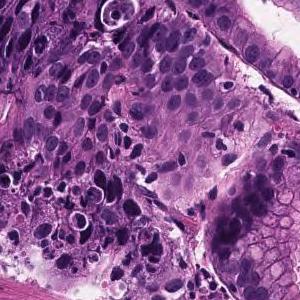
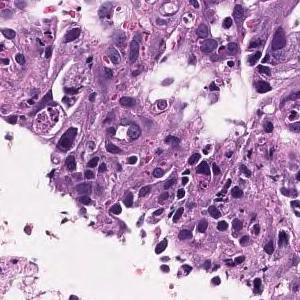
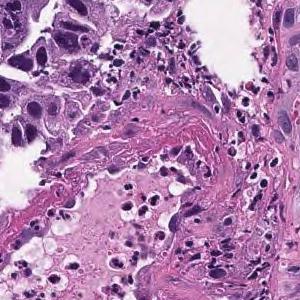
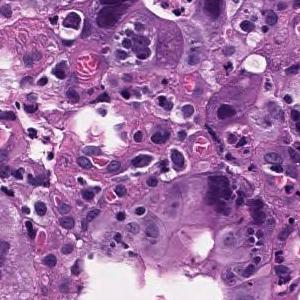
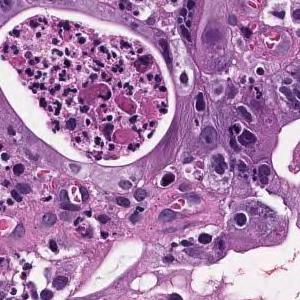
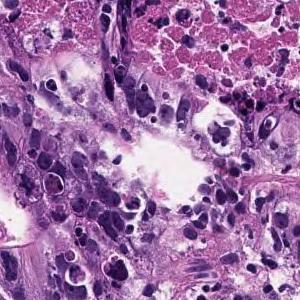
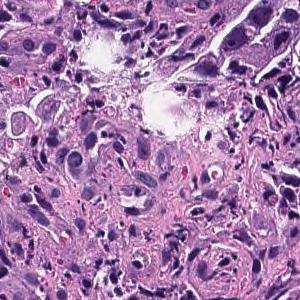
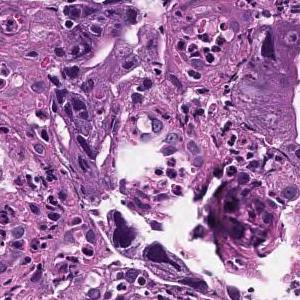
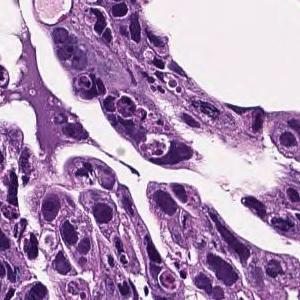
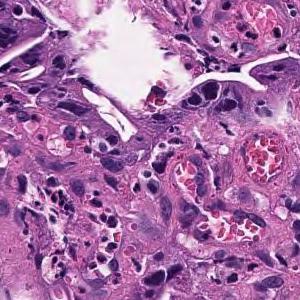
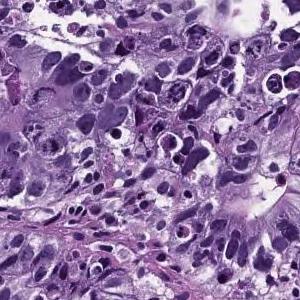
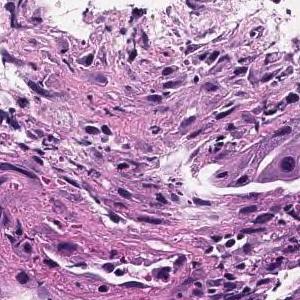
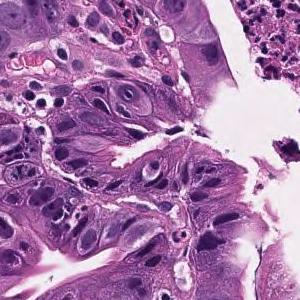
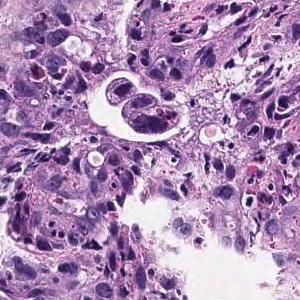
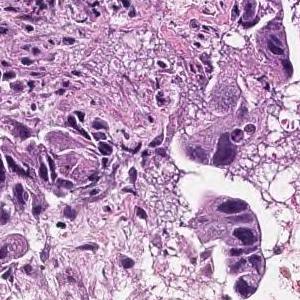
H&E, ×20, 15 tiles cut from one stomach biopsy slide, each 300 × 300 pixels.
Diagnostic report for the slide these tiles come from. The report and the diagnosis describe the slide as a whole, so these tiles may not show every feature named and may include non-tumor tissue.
In the superficial epithelium, medium to small irregular gland ducts are formed, and in some cases, the ducts are fused to show solid alveolar lesions and infiltrating tumor tissue is observed. Moderately to poorly differentiated adenocarcinoma
